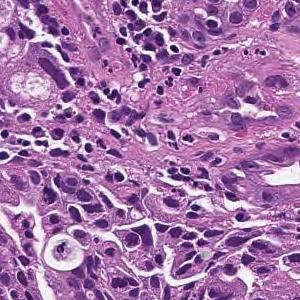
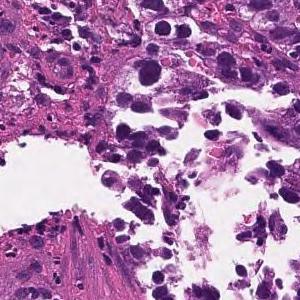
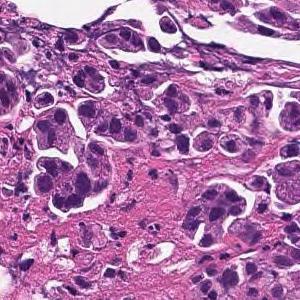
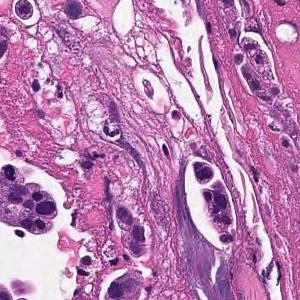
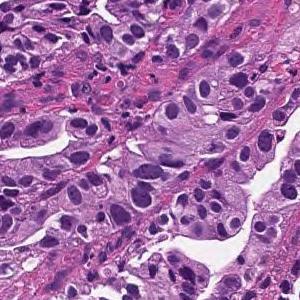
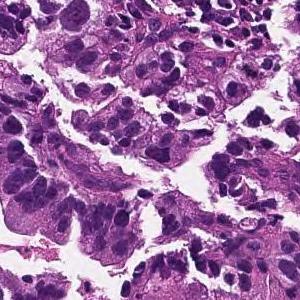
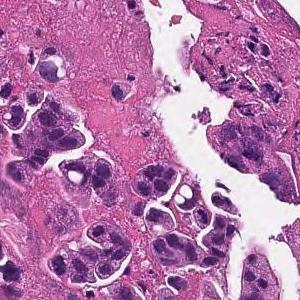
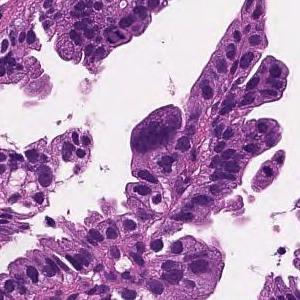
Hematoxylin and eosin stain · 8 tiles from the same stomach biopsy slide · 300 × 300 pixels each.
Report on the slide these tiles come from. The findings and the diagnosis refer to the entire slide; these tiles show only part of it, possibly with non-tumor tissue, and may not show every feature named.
Medium to small, irregular glandular ducts are formed in the superficial epithelium, and in some cases, the glandular ducts are fused to show solid alveolar lesions and infiltrating tumor tissue is observed. Moderately to poorly differentiated adenocarcinoma.
